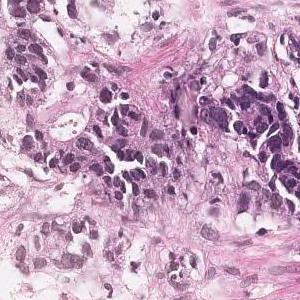
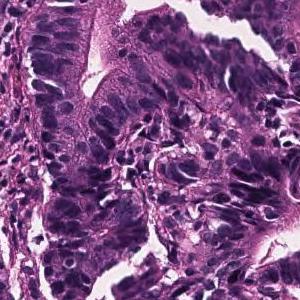
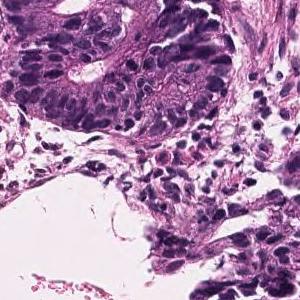
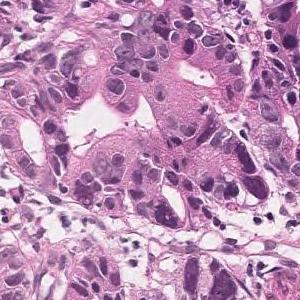
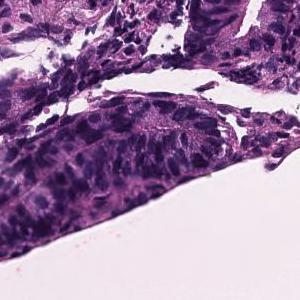
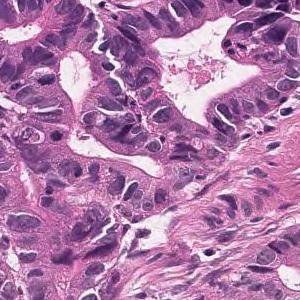
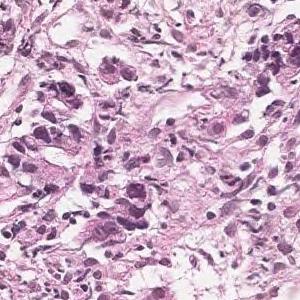
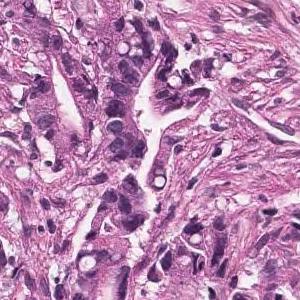
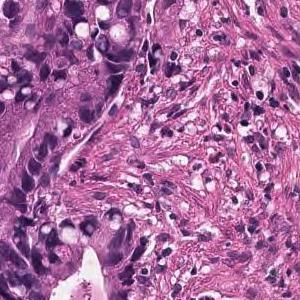
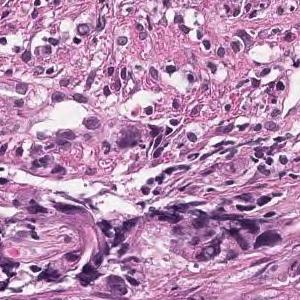
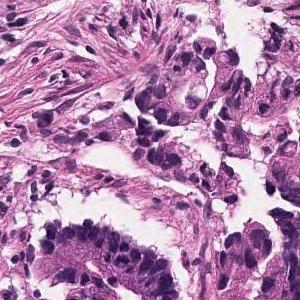
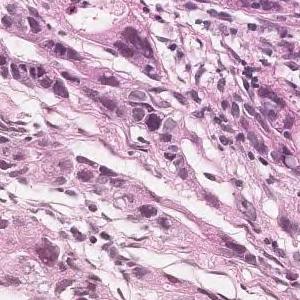
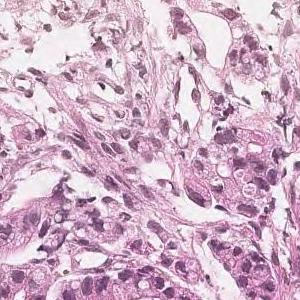
13 tiles from the same stomach biopsy slide, hematoxylin and eosin stain, ×20.
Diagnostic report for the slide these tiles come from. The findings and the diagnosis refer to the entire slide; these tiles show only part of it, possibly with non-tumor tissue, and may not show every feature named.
In the superficial epithelium, tumor tissue is found in which medium-sized irregular gland ducts fuse with each other and infiltrate. moderately differentiated tubular adenocarcinoma
